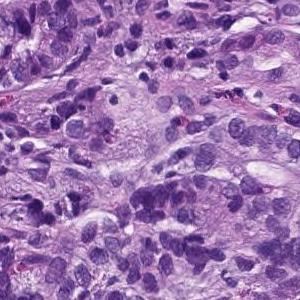
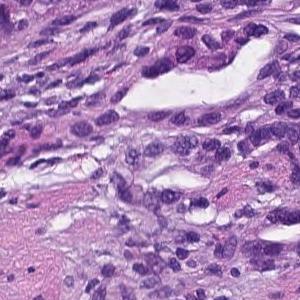
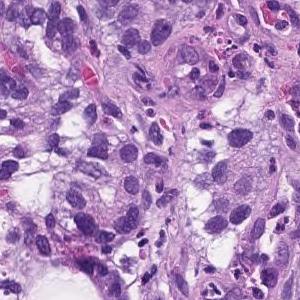
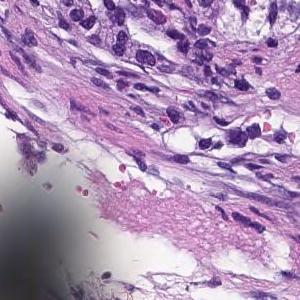
4 tiles from the same stomach biopsy slide; H&E stain; scanned at ×20.
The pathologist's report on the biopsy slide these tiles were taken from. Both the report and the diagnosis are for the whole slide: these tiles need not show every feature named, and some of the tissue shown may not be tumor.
From the superficial epithelium to the muscularis mucosae, tumor tissue consisting of medium-sized and irregular glandular ducts infiltrating is observed. Well differentiated tubular adenocarcinoma
